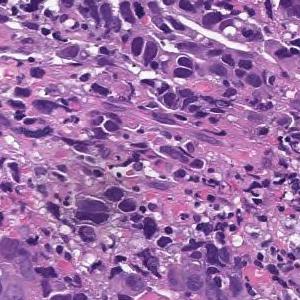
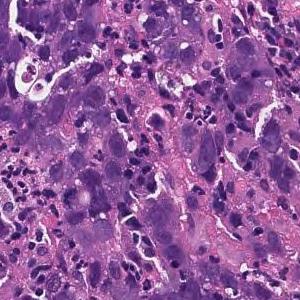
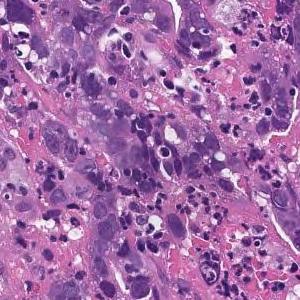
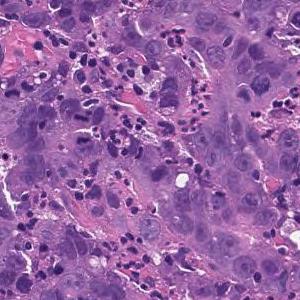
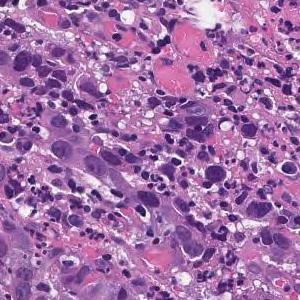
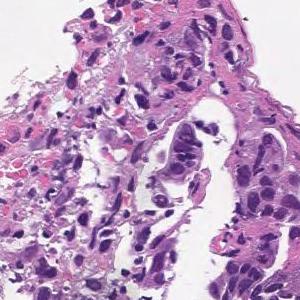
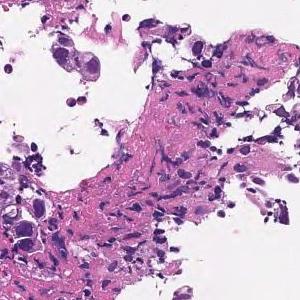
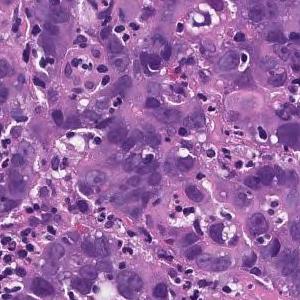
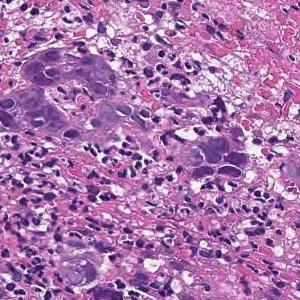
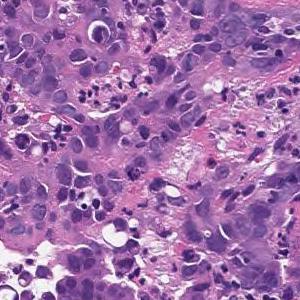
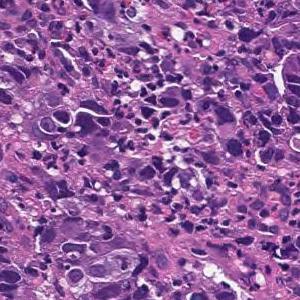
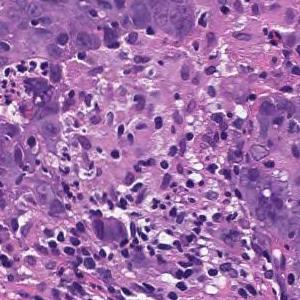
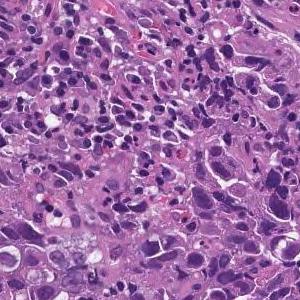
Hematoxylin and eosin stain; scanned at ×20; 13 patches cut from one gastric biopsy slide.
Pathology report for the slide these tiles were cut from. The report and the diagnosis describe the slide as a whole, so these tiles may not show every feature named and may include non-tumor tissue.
Tumor tissue consisting of cord-like or small, irregular glandular ducts fused and infiltrated is observed in the superficial epithelium. Poorly differentiated adenocarcinoma, non-solid type
The term "non-solid type" comes from the Japanese Classification of Gastric Carcinoma.
